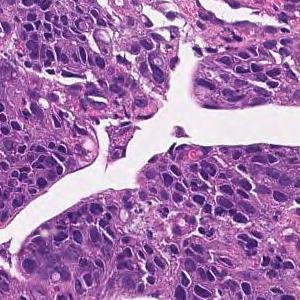
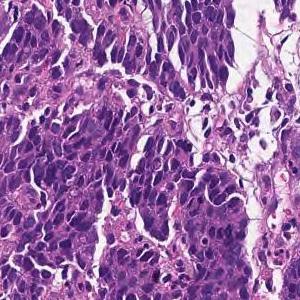
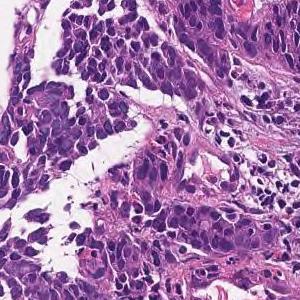
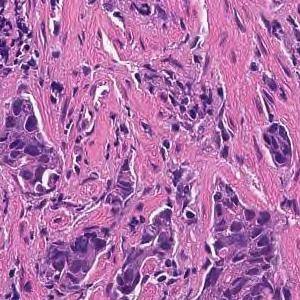
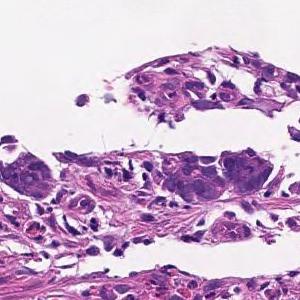
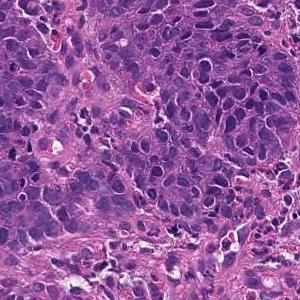
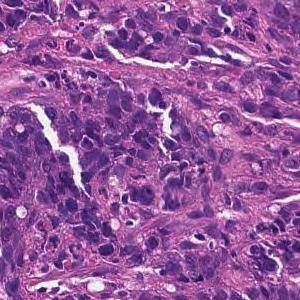
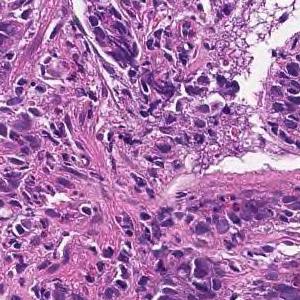
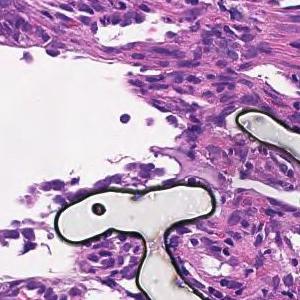
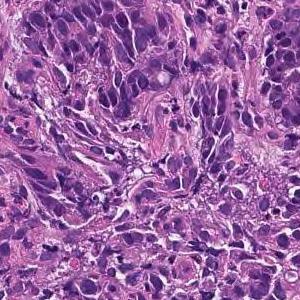
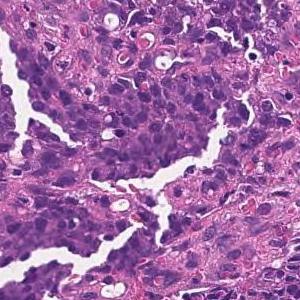
11 tiles from the same stomach biopsy slide; each 300 × 300 pixels; hematoxylin and eosin stain.
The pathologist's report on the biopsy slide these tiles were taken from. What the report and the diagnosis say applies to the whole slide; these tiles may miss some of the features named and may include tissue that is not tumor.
Tumor tissue consisting of cord-like or small, irregular glandular ducts fused and infiltrated is observed in the superficial epithelium. Poorly differentiated adenocarcinoma, non-solid type
"Non-solid type" is a category of the Japanese Classification of Gastric Carcinoma.
